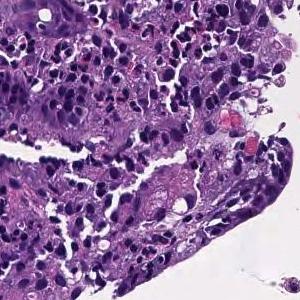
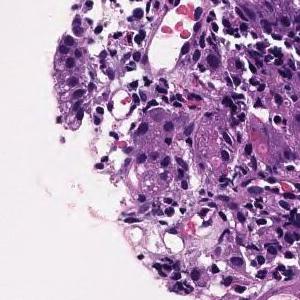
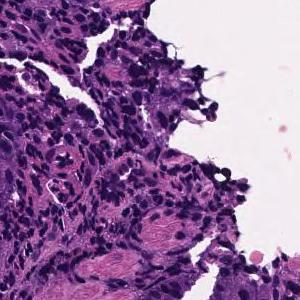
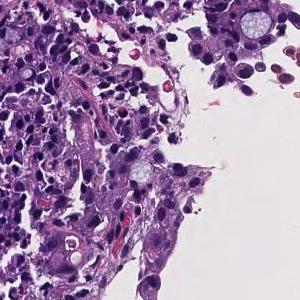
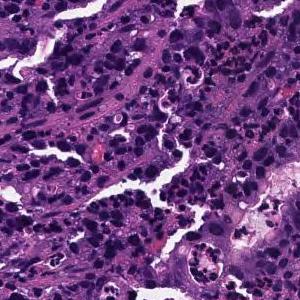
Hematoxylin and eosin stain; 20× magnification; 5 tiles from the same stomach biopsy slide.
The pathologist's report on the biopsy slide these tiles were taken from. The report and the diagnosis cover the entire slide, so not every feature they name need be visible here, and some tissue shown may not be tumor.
Medium to small, irregular glandular ducts are formed in the superficial epithelium, and in some cases, the glandular ducts are fused to show solid alveolar lesions and infiltrating tumor tissue is observed. Moderately to poorly differentiated adenocarcinoma.
